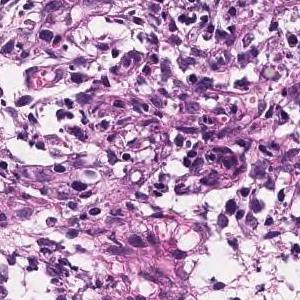
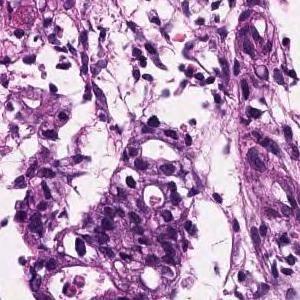
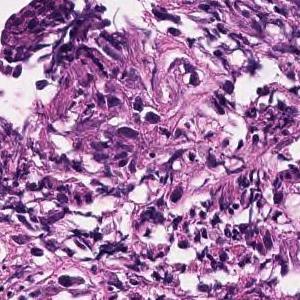
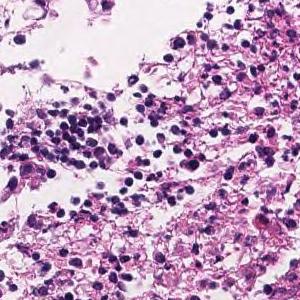
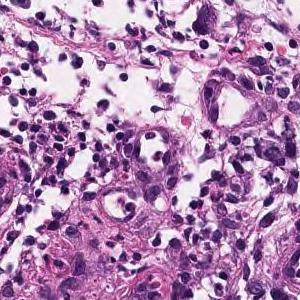
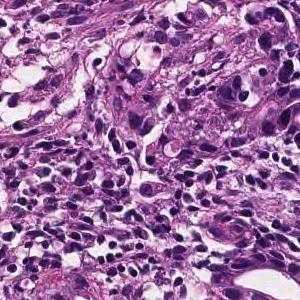
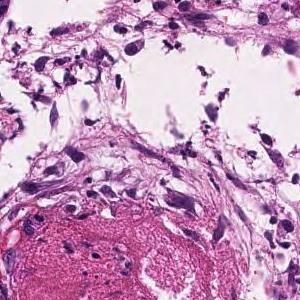
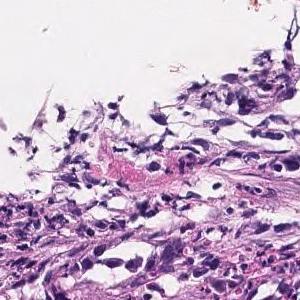
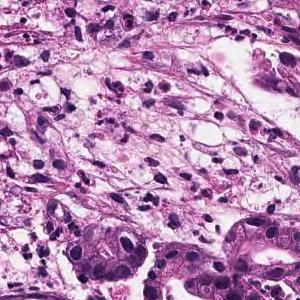
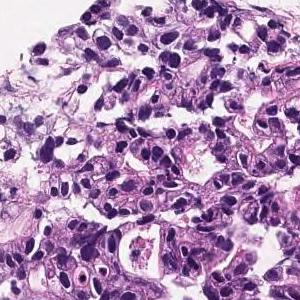
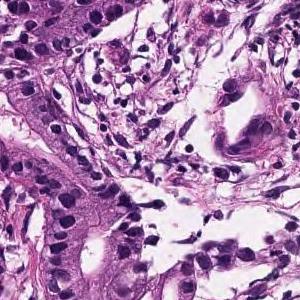
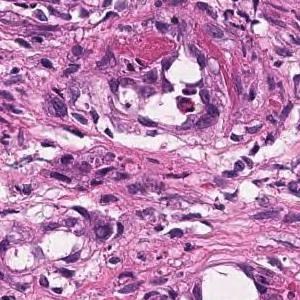
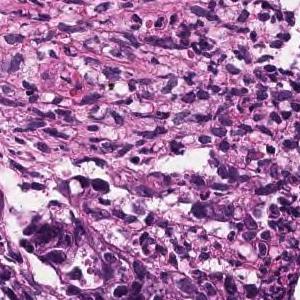
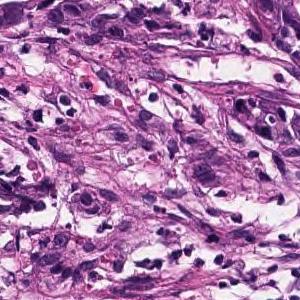
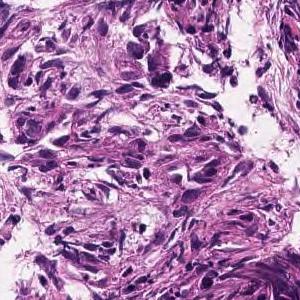
15 image tiles from a single gastric biopsy slide · hematoxylin and eosin stain.
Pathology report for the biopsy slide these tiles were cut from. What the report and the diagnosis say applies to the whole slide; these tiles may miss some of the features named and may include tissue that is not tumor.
In the superficial epithelium, medium to small, irregular gland ducts are formed, and in some cases, the gland ducts are fused to show solid alveolar lesions and infiltrating tumor tissue is observed. Moderately to poorly differentiated adenocarcinoma.
